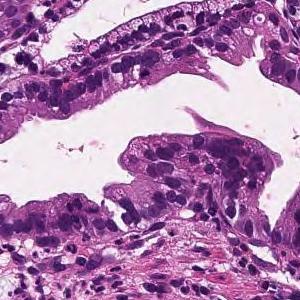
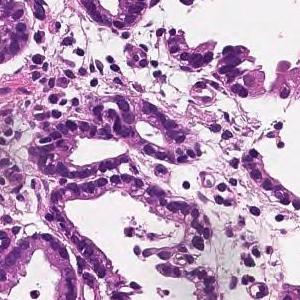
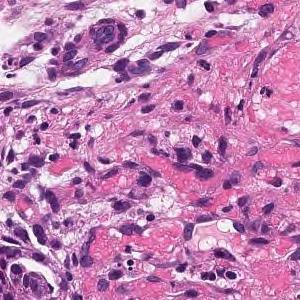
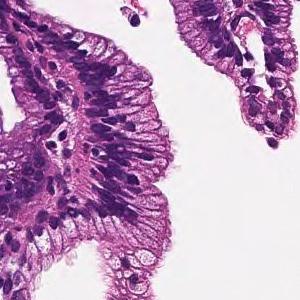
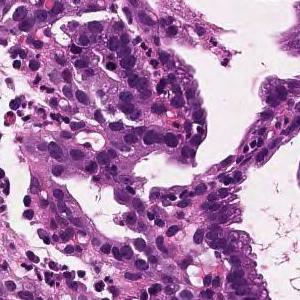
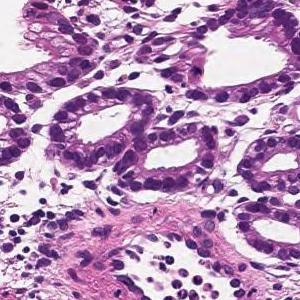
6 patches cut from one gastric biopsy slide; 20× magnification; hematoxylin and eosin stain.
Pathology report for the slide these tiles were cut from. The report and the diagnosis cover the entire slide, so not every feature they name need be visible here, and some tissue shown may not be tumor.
On the superficial epithelium, tumor tissue that infiltrates by forming medium-sized papillary or small irregular ducts is observed. Papillary adenocarcinoma
